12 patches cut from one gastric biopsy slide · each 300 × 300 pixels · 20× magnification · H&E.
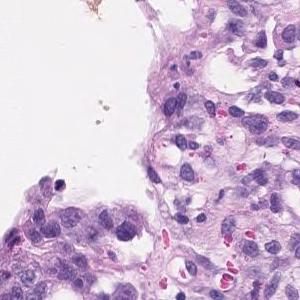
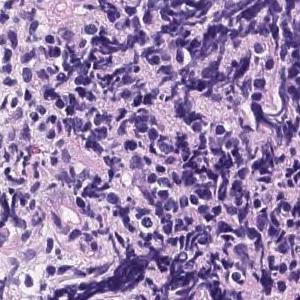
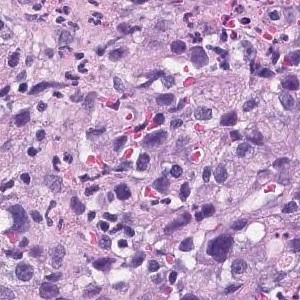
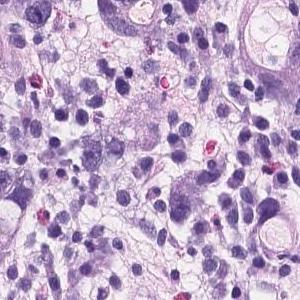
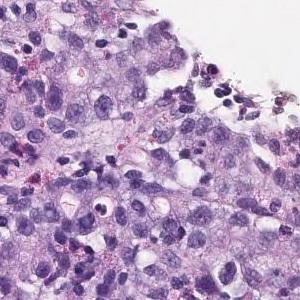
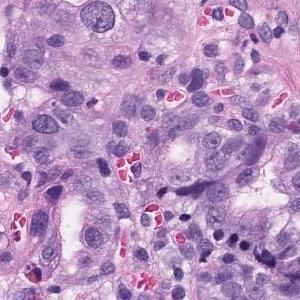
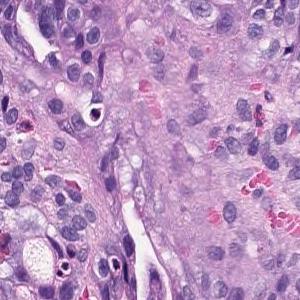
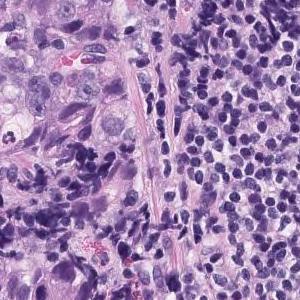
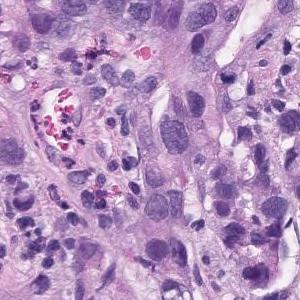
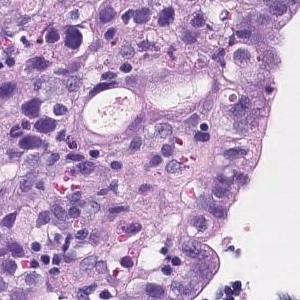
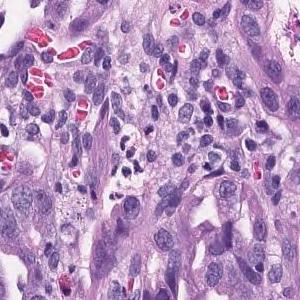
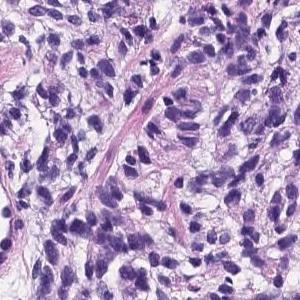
Diagnostic report for the slide these tiles come from. Both the report and the diagnosis are for the whole slide: these tiles need not show every feature named, and some of the tissue shown may not be tumor.
There are atypical l cells with atypical nuclei forming cord-like or irregular atypical ducts from solidity and proliferating in a comprehensive manner. Poorly differentiated adenocarcinoma, Moderately differentiated adenocarcinoma (poorly differentiated adenocarcinoma, solid type moderately differentiated tubular adenocarcinoma)
Histological subtype: Moderately to poorly differentiated adenocarcinoma.
"Solid type" is a category of the Japanese Classification of Gastric Carcinoma; in the WHO 2019 classification it is tubular adenocarcinoma, poorly differentiated.
